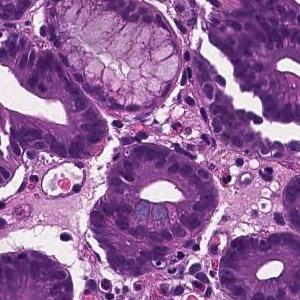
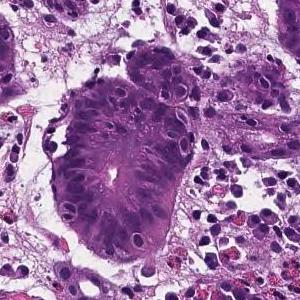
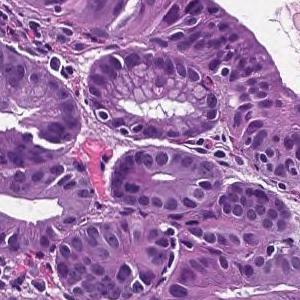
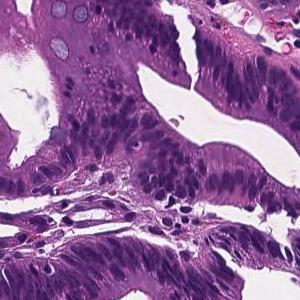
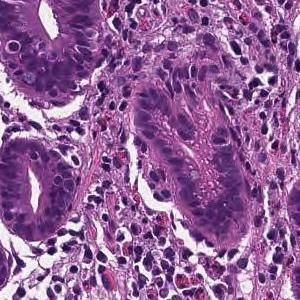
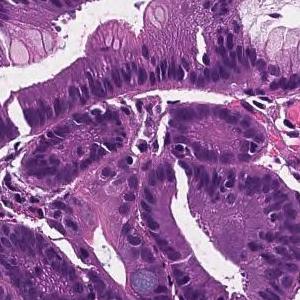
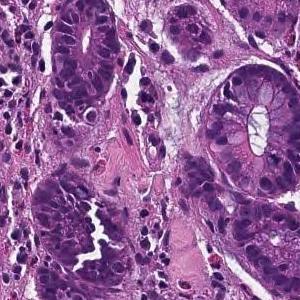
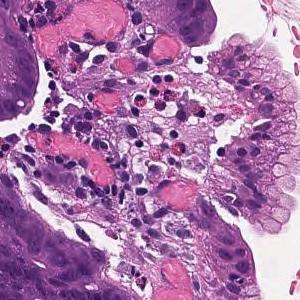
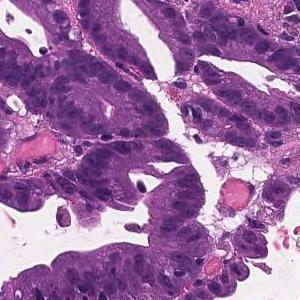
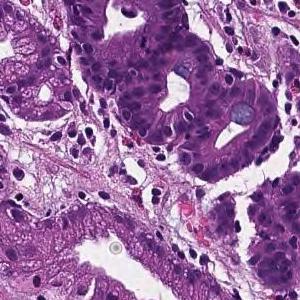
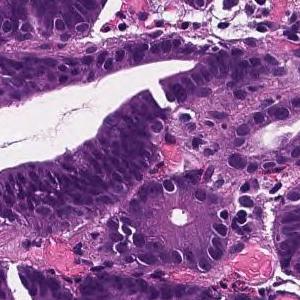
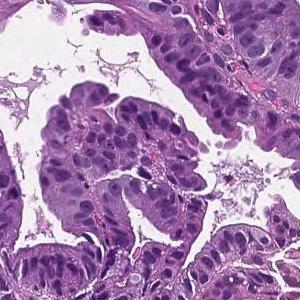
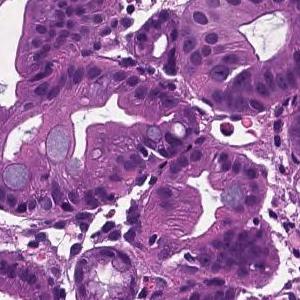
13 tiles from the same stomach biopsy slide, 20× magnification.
Pathology report for the biopsy slide these tiles were cut from. The report describes the whole slide, diagnosis included: not every finding it names need appear in these tiles, which may also show non-tumor tissue.
From the superficial epithelium to the muscularis mucosae, tumor tissue consisting of medium-sized and irregular glandular ducts infiltrating is observed. Well differentiated tubular adenocarcinoma
